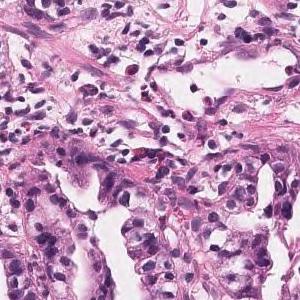
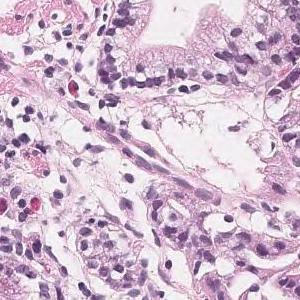
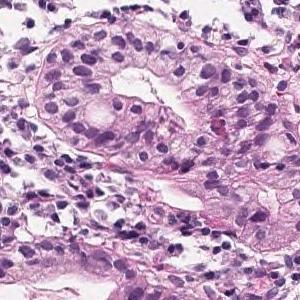
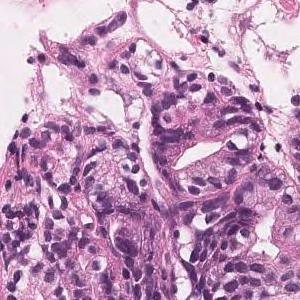
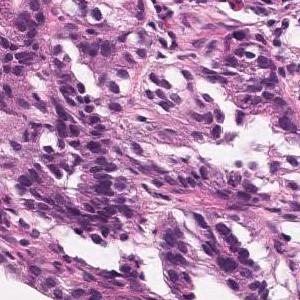
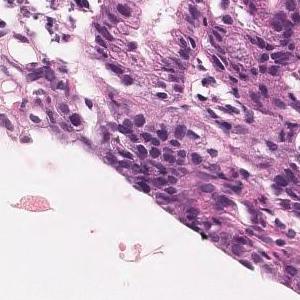
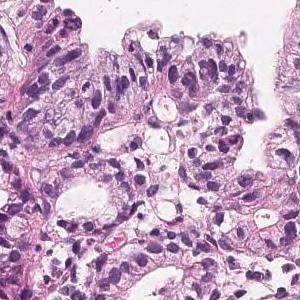
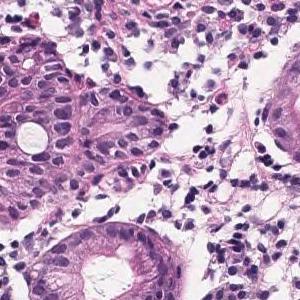
H&E stain, scanned at ×20, 8 tiles from the same stomach biopsy slide.
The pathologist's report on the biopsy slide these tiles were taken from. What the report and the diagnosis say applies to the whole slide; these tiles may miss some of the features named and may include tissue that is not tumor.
Proliferation of atypical glandular ducts that fuse and show a sieving structure is observed. moderately differentiated tubular adenocarcinoma
